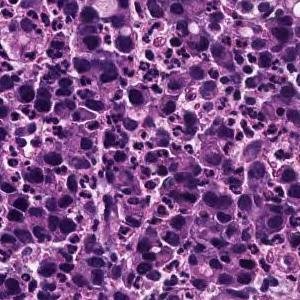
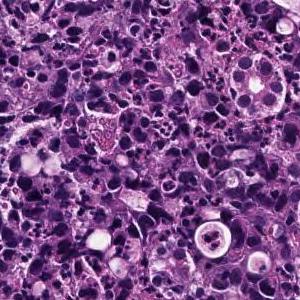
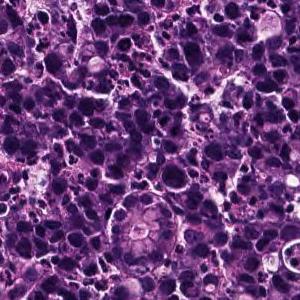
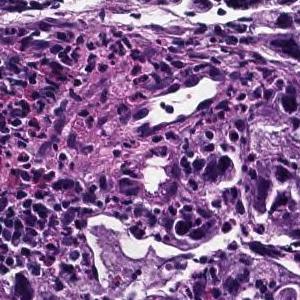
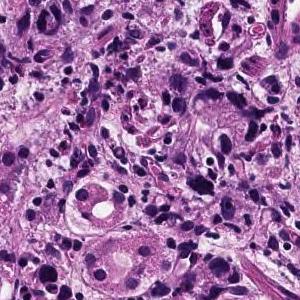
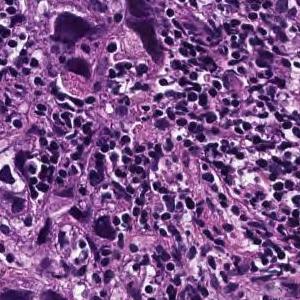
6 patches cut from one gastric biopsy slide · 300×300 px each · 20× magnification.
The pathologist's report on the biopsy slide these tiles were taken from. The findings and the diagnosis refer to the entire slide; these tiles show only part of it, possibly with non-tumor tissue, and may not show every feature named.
The superficial epithelium shows a large sheet-like shape, and some tumor tissue infiltrates with small irregular ducts. Poorly differentiated adenocarcinoma, solid-type
Tumor subtype: poorly differentiated adenocarcinoma, solid type, a category of the Japanese Classification of Gastric Carcinoma; in the WHO 2019 classification it is tubular adenocarcinoma, poorly differentiated.
